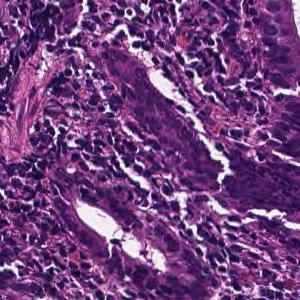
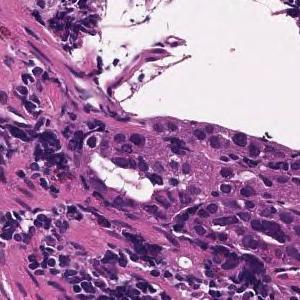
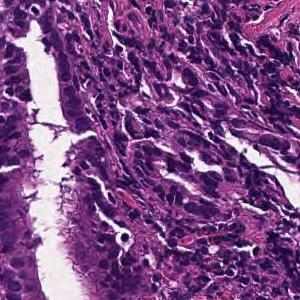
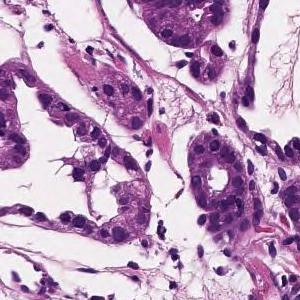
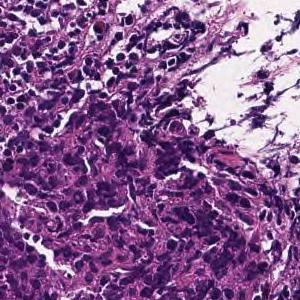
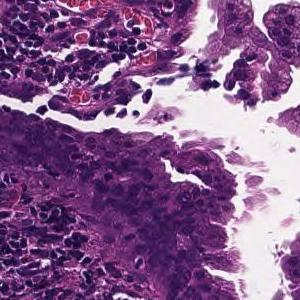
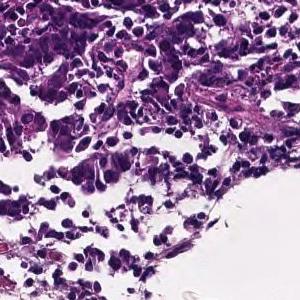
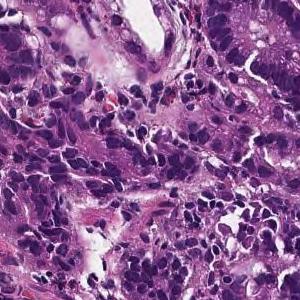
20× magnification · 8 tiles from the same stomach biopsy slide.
Pathology report for the slide these tiles were cut from. The report describes the whole slide, diagnosis included: not every finding it names need appear in these tiles, which may also show non-tumor tissue.
Tumor tissue consisting of medium-sized, cord-like or irregular glandular infiltration is observed in the superficial epithelium. Poorly differentiated adenocarcinoma, non-solid type or moderately differentiated tubular adenocarcinoma
Tumor subtype: moderately to poorly differentiated adenocarcinoma.
"Non-solid type" is a category of the Japanese Classification of Gastric Carcinoma.
